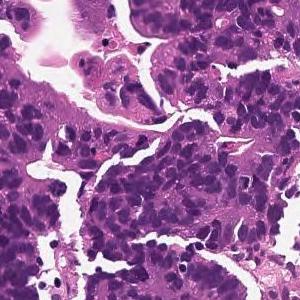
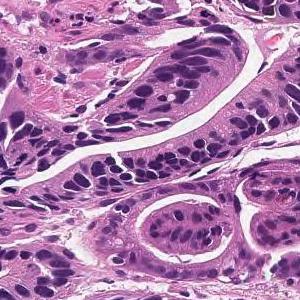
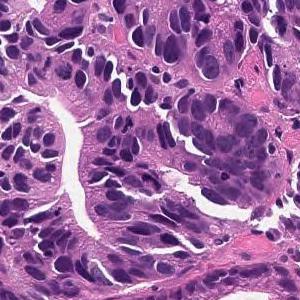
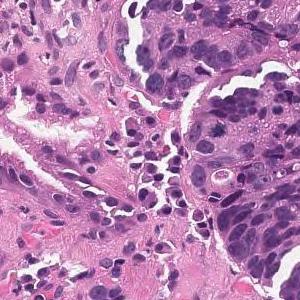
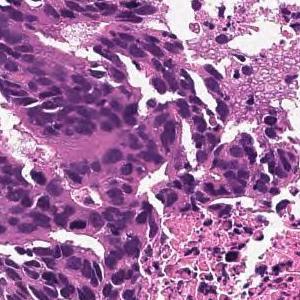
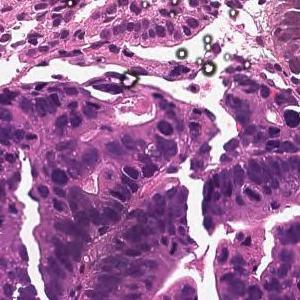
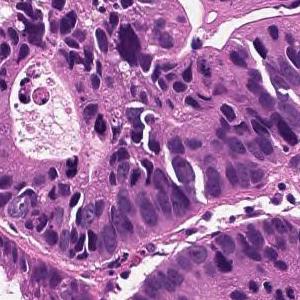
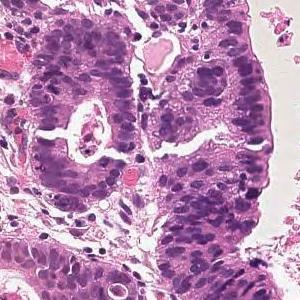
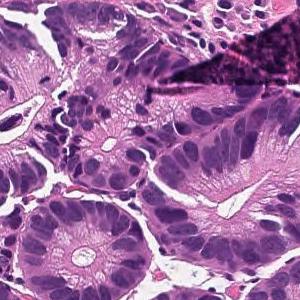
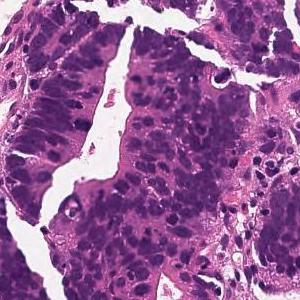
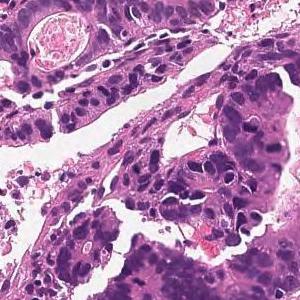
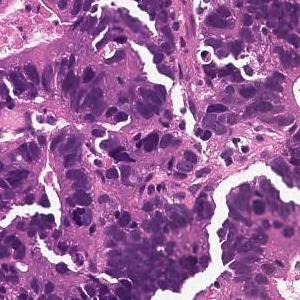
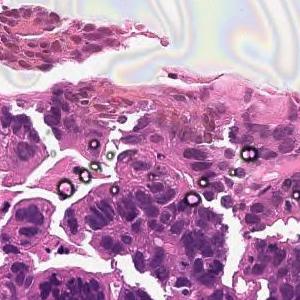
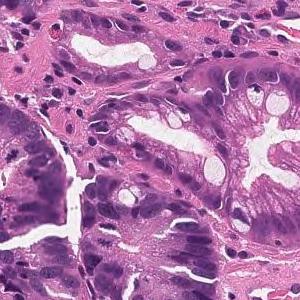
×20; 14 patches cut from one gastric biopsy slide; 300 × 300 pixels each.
Report on the slide these tiles come from. Both the report and the diagnosis are for the whole slide: these tiles need not show every feature named, and some of the tissue shown may not be tumor.
Tumor cells are large, highly columnar, large club-shaped nuclei, and are associated with chromatin aggregation. Papillary adenocarcinoma.
